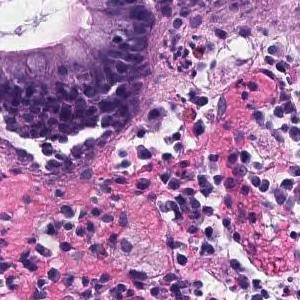
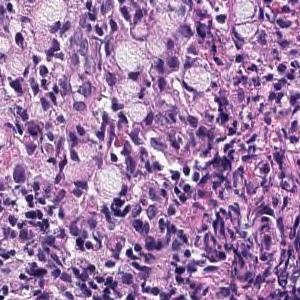
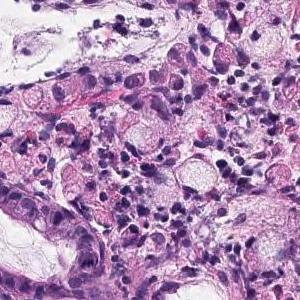
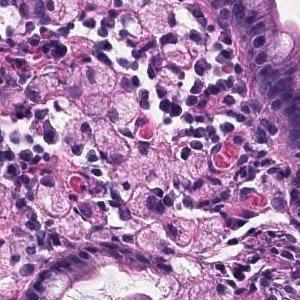
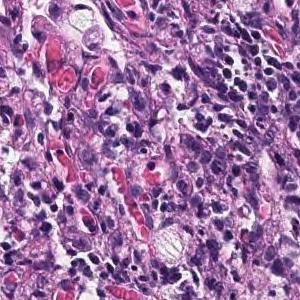
5 patches cut from one gastric biopsy slide · 300×300 px each · 20× magnification · H&E stain.
The pathologist's report on the biopsy slide these tiles were taken from. The report and the diagnosis describe the slide as a whole, so these tiles may not show every feature named and may include non-tumor tissue.
A tumor tissue consisting of signet ring cell carcinoma cells is observed in the lamina propria. Signet ring cell carcinoma.
